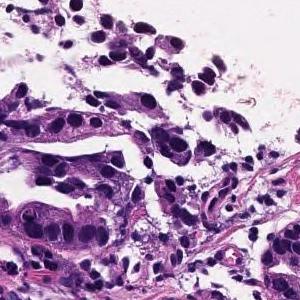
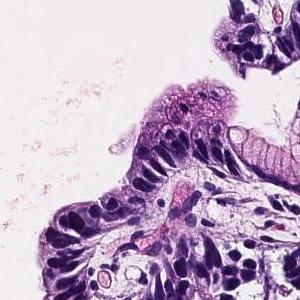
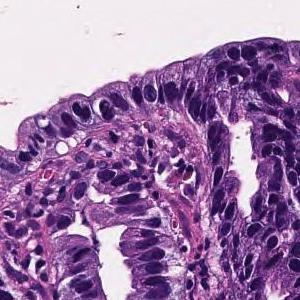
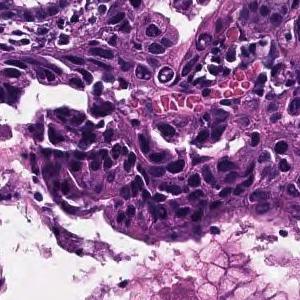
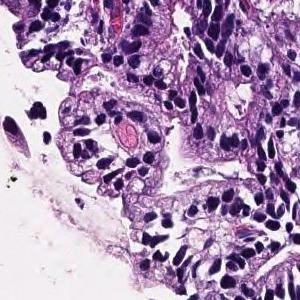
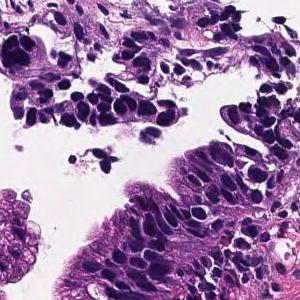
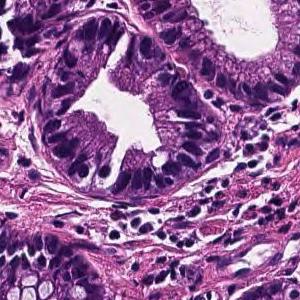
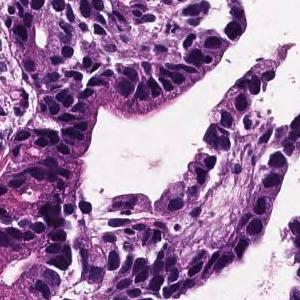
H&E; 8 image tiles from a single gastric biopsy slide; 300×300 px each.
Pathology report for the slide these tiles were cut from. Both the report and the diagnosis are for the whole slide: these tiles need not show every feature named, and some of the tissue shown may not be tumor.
Tumor cells are large, highly columnar, large club-shaped nuclei, and are associated with chromatin aggregation. Papillary adenocarcinoma.
